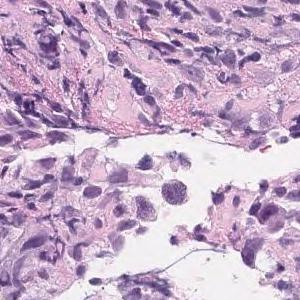
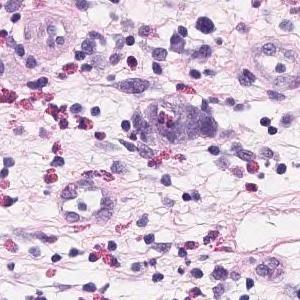
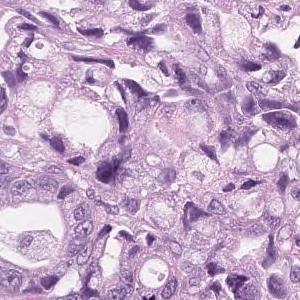
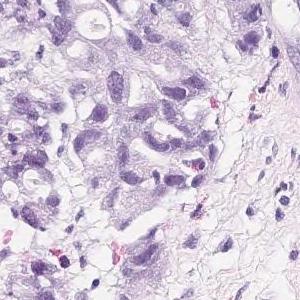
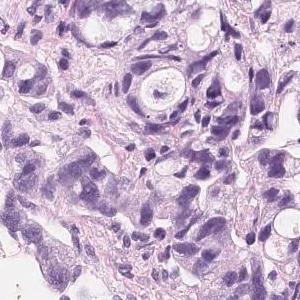
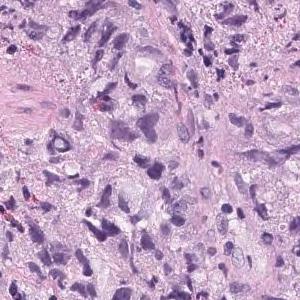
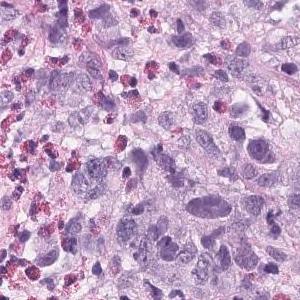
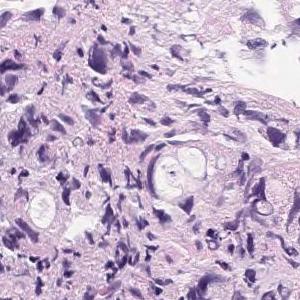
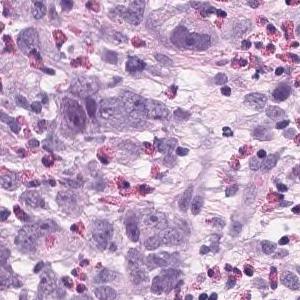
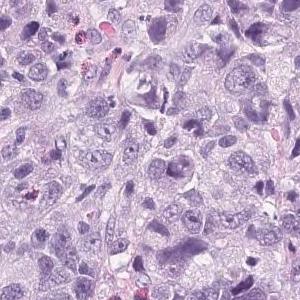
H&E; scanned at ×20; 10 tiles cut from one stomach biopsy slide.
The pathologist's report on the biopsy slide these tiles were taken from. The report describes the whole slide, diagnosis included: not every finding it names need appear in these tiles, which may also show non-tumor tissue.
Tumor tissue that infiltrates and proliferates by forming small glandular cavities in the superficial layer to the submucosa or forming a mass is observed. moderately differentiated tubular adenocarcinoma
